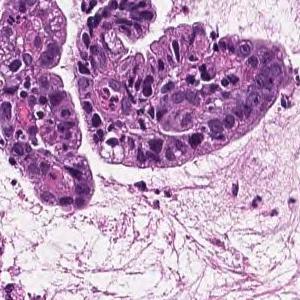
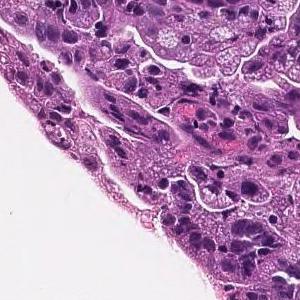
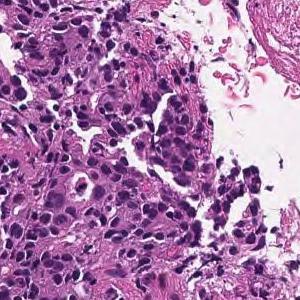
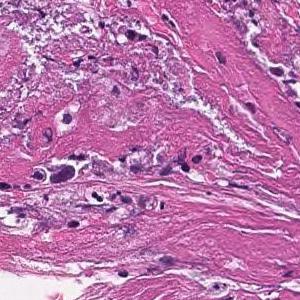
Hematoxylin and eosin stain; 20× magnification; 4 patches cut from one gastric biopsy slide; each 300 × 300 pixels.
Report on the slide these tiles come from. The report and the diagnosis describe the slide as a whole, so these tiles may not show every feature named and may include non-tumor tissue.
On the superficial epithelium, tumor tissue that infiltrates by forming medium-sized papillary or small irregular ducts is observed. Papillary adenocarcinoma
